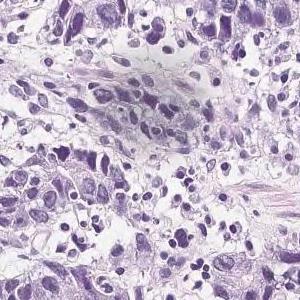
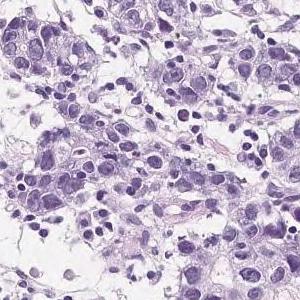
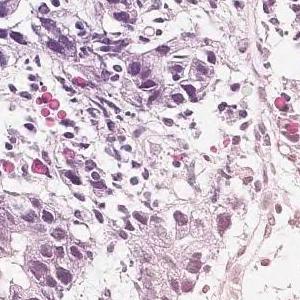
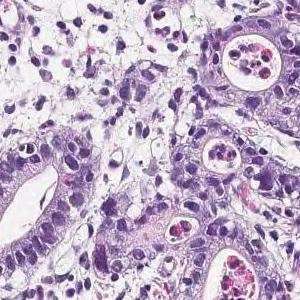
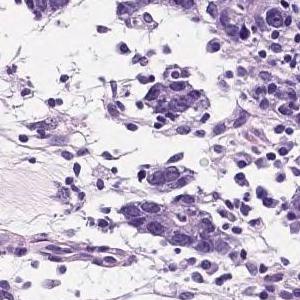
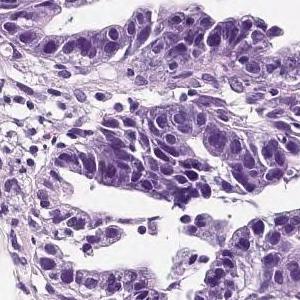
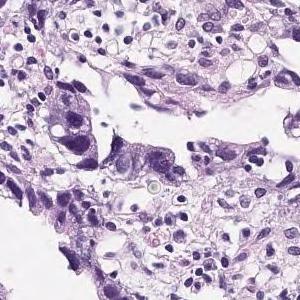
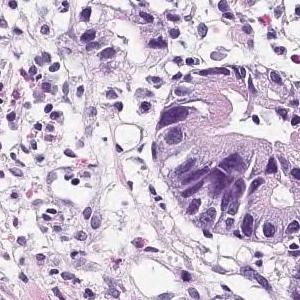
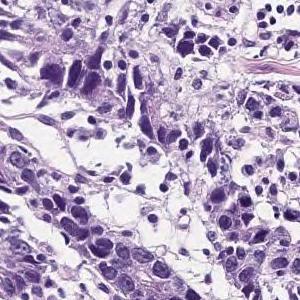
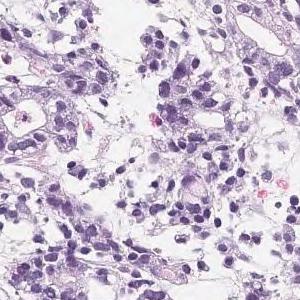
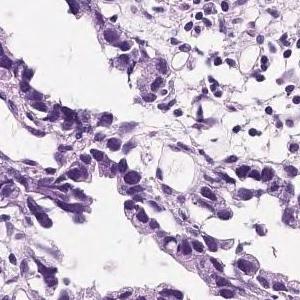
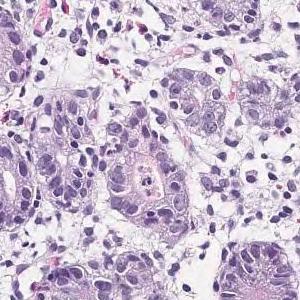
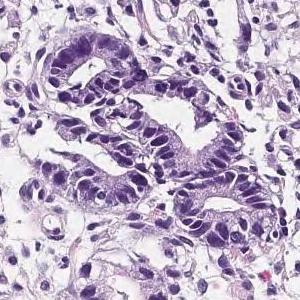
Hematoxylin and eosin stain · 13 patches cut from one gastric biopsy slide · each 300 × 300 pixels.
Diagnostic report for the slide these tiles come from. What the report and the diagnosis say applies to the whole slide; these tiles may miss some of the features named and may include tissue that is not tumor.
Well-differentiated tubular adenocarcinoma that grows with some small irregular ducts fused to the superficial epithelium. Well differentiated tubular adenocarcinoma
